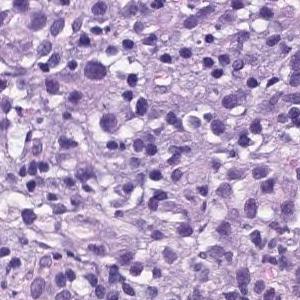
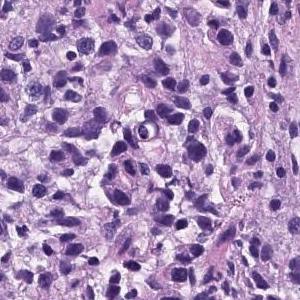
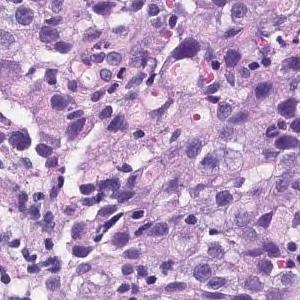
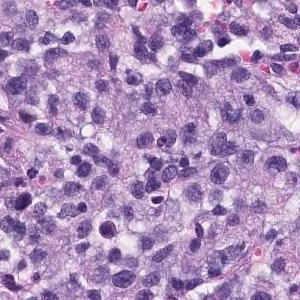
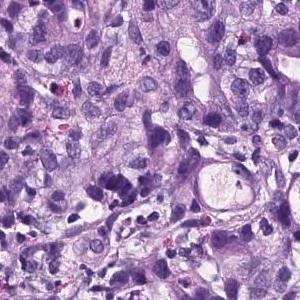
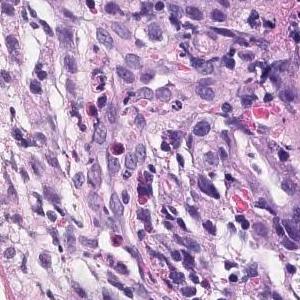
H&E stain · scanned at ×20 · 6 patches cut from one gastric biopsy slide.
Report on the slide these tiles come from. What the report and the diagnosis say applies to the whole slide; these tiles may miss some of the features named and may include tissue that is not tumor.
There are atypical l cells with atypical nuclei forming cord-like or irregular atypical ducts from solidity and proliferating in a comprehensive manner. Poorly differentiated adenocarcinoma, Moderately differentiated adenocarcinoma (poorly differentiated adenocarcinoma, solid type moderately differentiated tubular adenocarcinoma)
Histologic type: Moderately to poorly differentiated adenocarcinoma.
The solid type named here is a Japanese Classification of Gastric Carcinoma category; WHO 2019 calls it tubular adenocarcinoma, poorly differentiated.
